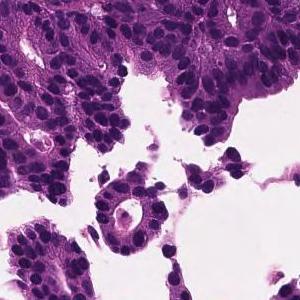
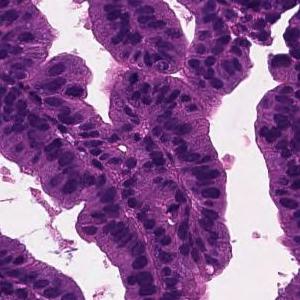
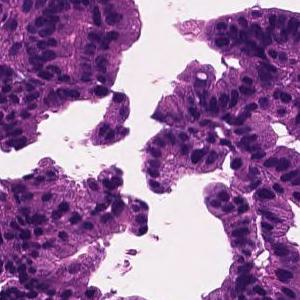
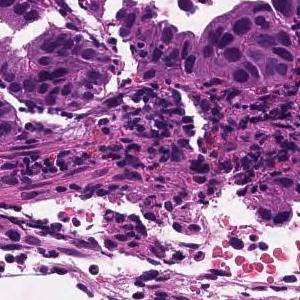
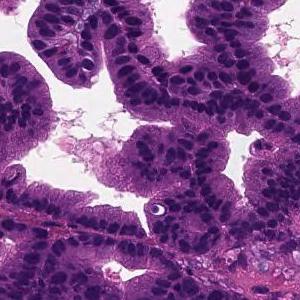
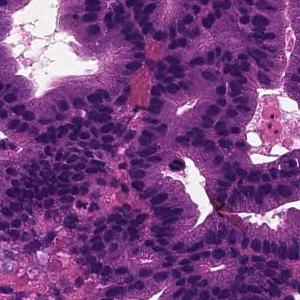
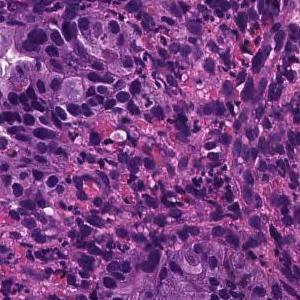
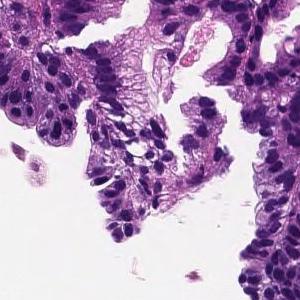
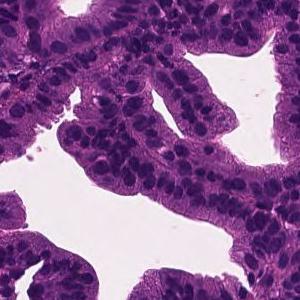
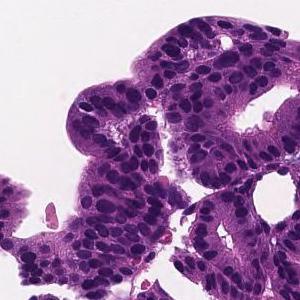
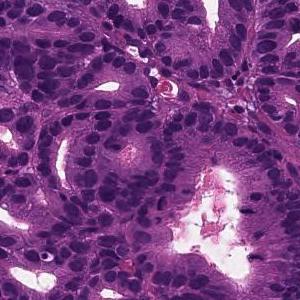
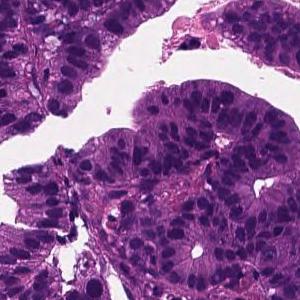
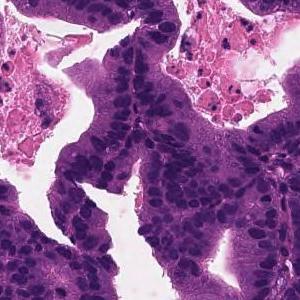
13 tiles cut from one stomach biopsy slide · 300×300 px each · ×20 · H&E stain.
Pathology report for the biopsy slide these tiles were cut from. Both the report and the diagnosis are for the whole slide: these tiles need not show every feature named, and some of the tissue shown may not be tumor.
Tumor cells are large, highly columnar, large club-shaped nuclei, and are associated with chromatin aggregation. Papillary adenocarcinoma.
